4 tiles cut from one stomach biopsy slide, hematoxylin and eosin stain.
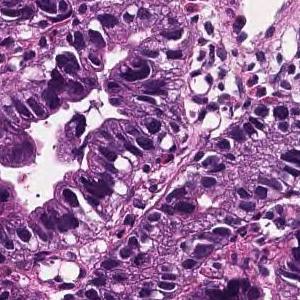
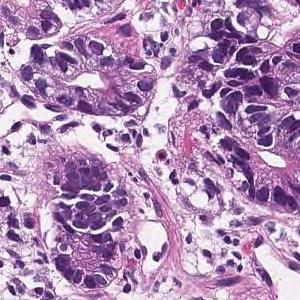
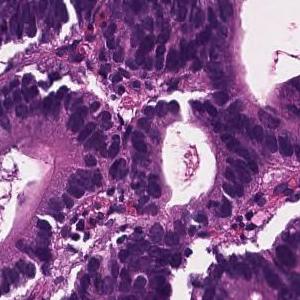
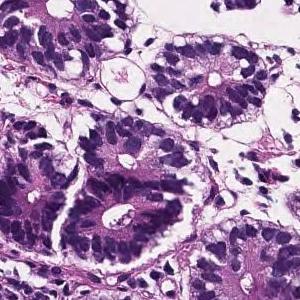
Pathology report for the biopsy slide these tiles were cut from. The findings and the diagnosis refer to the entire slide; these tiles show only part of it, possibly with non-tumor tissue, and may not show every feature named.
On the superficial epithelium, tumor tissue consisting of large, irregular glandular ducts partially fused and infiltrated is observed. Well to moderately differentiated tubular adenocarcinoma (well differentiated tubular adenocarcinoma, moderately differentiated tubular adenocarcinoma)
Histologic type: Well to moderately differentiated tubular adenocarcinoma.
